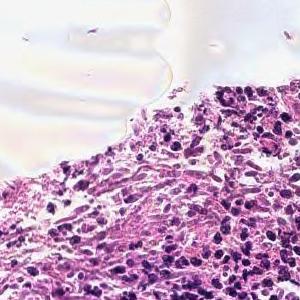
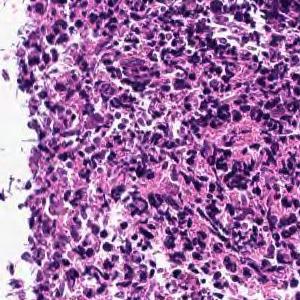
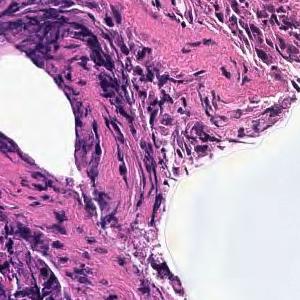
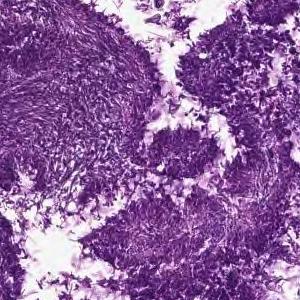
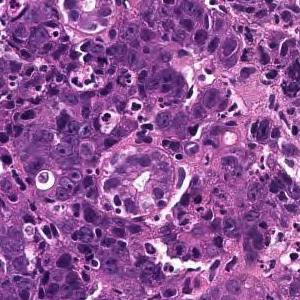
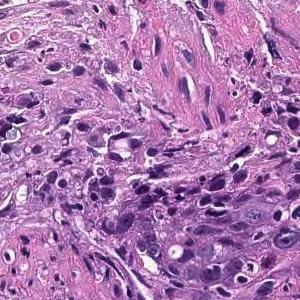
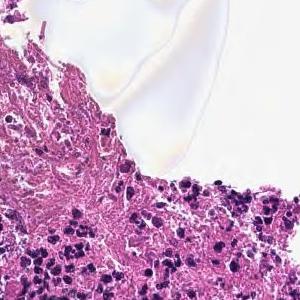
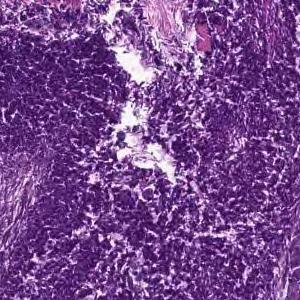
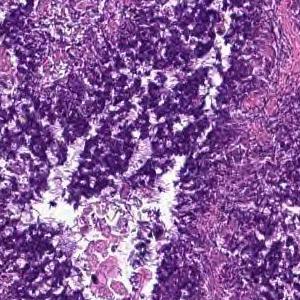
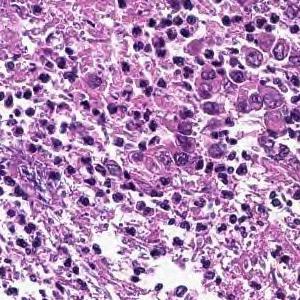
10 tiles from the same stomach biopsy slide; each 300 × 300 pixels; H&E stain; ×20.
Pathology report for the slide these tiles were cut from. The findings and the diagnosis refer to the entire slide; these tiles show only part of it, possibly with non-tumor tissue, and may not show every feature named.
Cancers with polygonal nuclei do not show glandular formation and are densely, in part, cord-like and proliferate. Poorly differentiated adenocarcinoma
Subtype: Poorly differentiated adenocarcinoma, non-solid type.
The non-solid type named here is a Japanese Classification of Gastric Carcinoma category.
